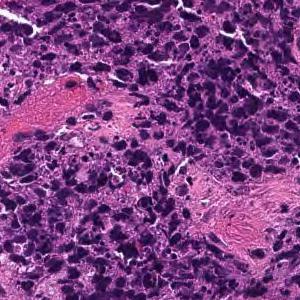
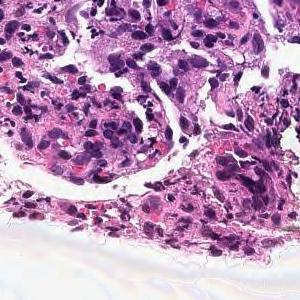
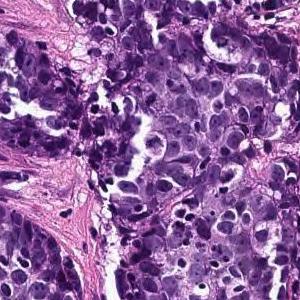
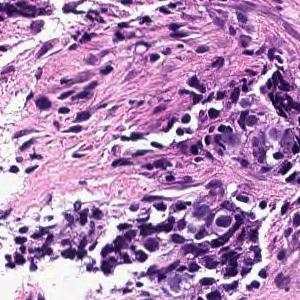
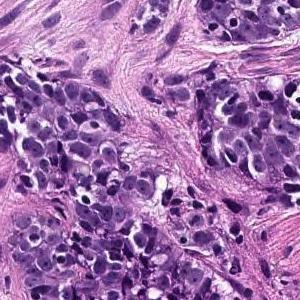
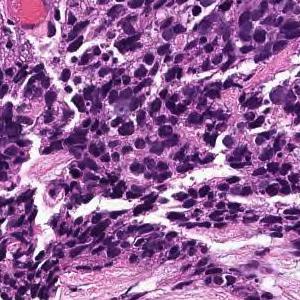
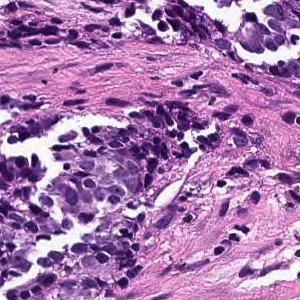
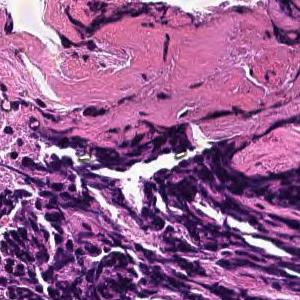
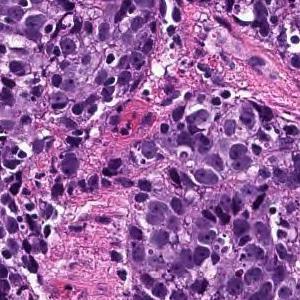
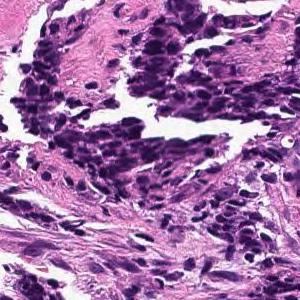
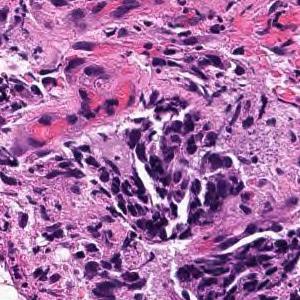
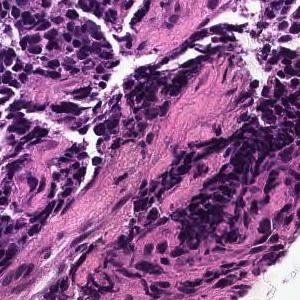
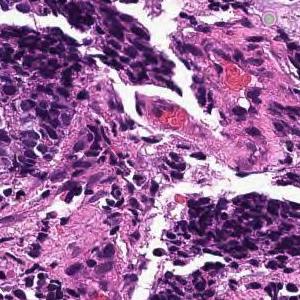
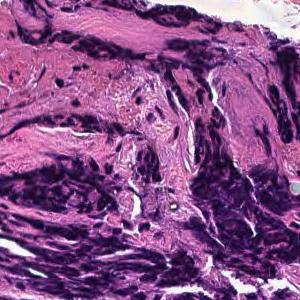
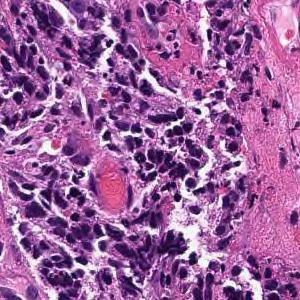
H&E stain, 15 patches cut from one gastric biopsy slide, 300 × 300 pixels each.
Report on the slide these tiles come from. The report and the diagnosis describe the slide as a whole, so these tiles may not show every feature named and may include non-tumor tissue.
The superficial epithelium shows a large sheet or alveolar shape, and tumor tissue infiltrating without irregular ducts is observed. Poorly differentiated adenocarcinoma, solid-type
Subtype: Poorly differentiated adenocarcinoma, solid type (Japanese Classification of Gastric Carcinoma). The WHO 2019 equivalent is tubular adenocarcinoma, poorly differentiated.
